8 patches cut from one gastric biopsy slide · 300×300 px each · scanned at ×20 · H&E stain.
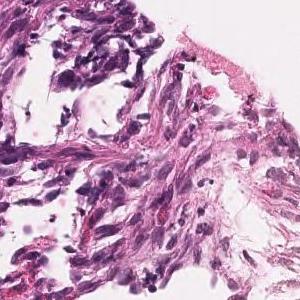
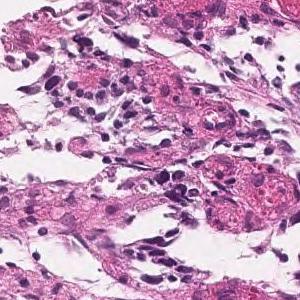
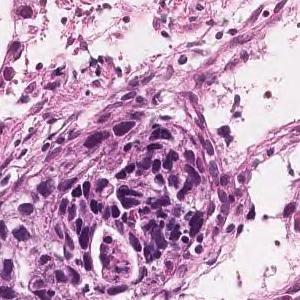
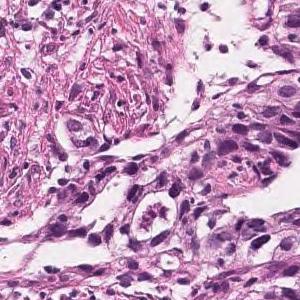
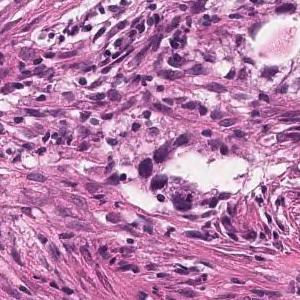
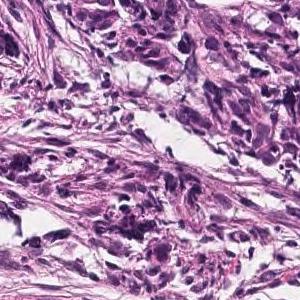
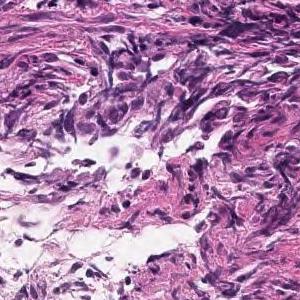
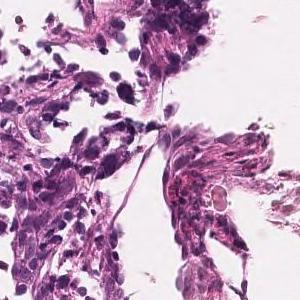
Report on the slide these tiles come from. The findings and the diagnosis refer to the entire slide; these tiles show only part of it, possibly with non-tumor tissue, and may not show every feature named.
Tumor tissue that is localized within the mucosa and grows in microcavities or small glandular cavities or individually isolated is observed. Poorly differentiated adenocarcinoma, non-solid type
The term "non-solid type" comes from the Japanese Classification of Gastric Carcinoma.
